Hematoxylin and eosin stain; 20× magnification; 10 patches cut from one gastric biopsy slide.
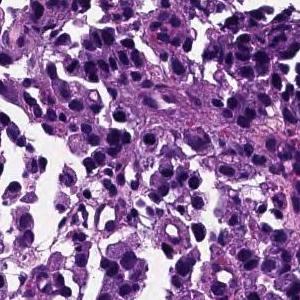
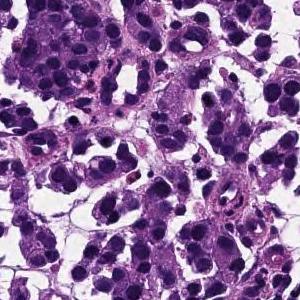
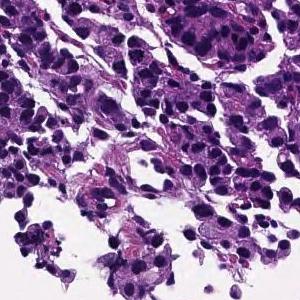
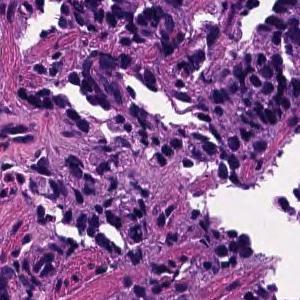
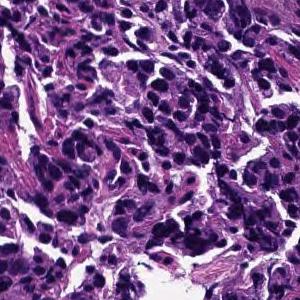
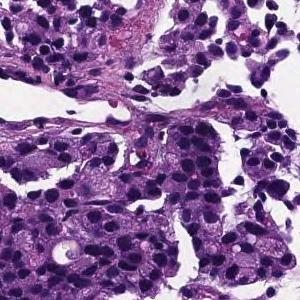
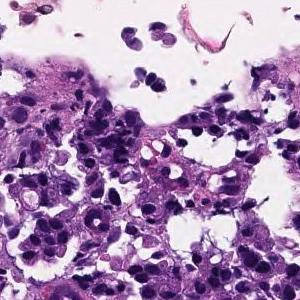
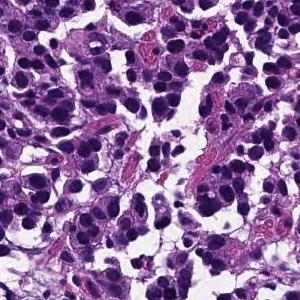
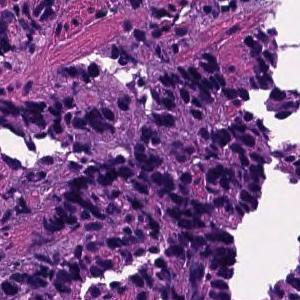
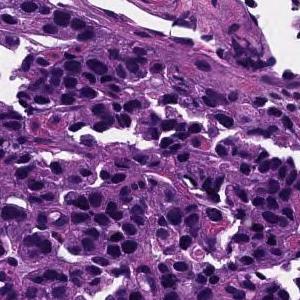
The pathologist's report on the biopsy slide these tiles were taken from. The report describes the whole slide, diagnosis included: not every finding it names need appear in these tiles, which may also show non-tumor tissue.
The superficial epithelium shows a large alveolar shape and infiltrates tumor tissue. Poorly differentiated adenocarcinoma, solid-type
Subtype: Poorly differentiated adenocarcinoma, solid type (Japanese Classification of Gastric Carcinoma). The WHO 2019 equivalent is tubular adenocarcinoma, poorly differentiated.
